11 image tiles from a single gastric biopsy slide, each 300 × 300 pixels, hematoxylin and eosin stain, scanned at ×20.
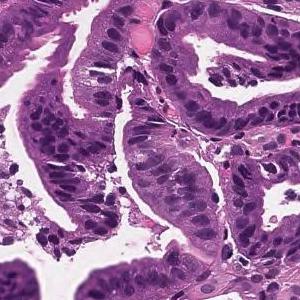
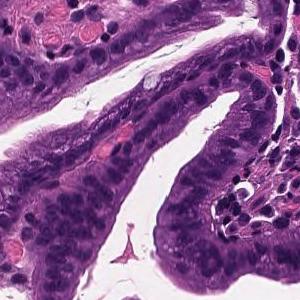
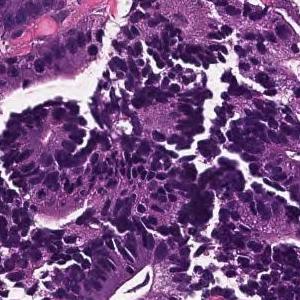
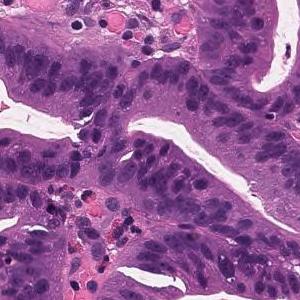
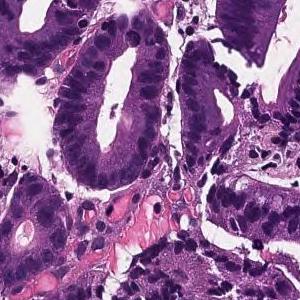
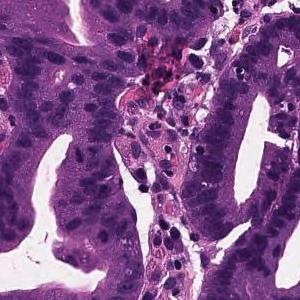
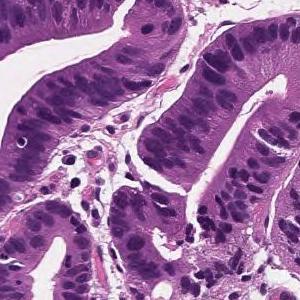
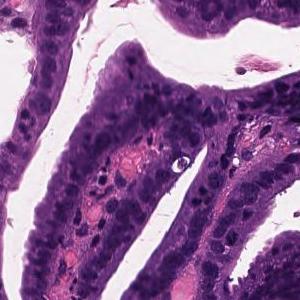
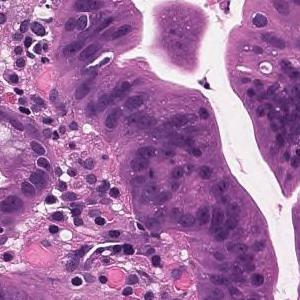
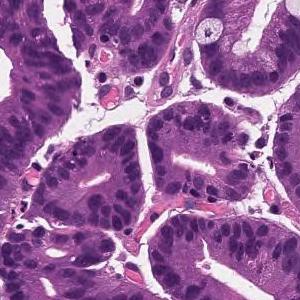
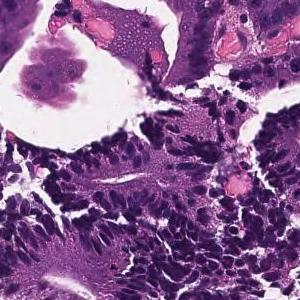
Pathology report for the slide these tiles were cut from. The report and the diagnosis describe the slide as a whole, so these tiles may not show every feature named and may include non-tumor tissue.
Tumor cells are large, highly columnar, large club-shaped nuclei, and are associated with chromatin aggregation. Papillary adenocarcinoma.
